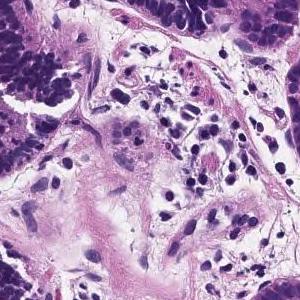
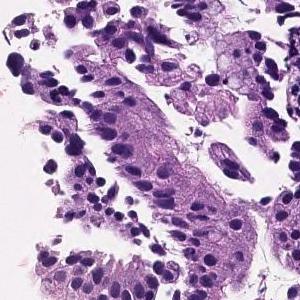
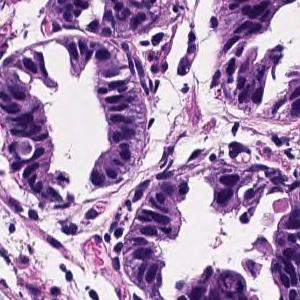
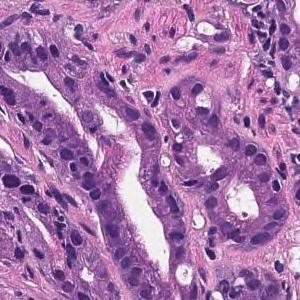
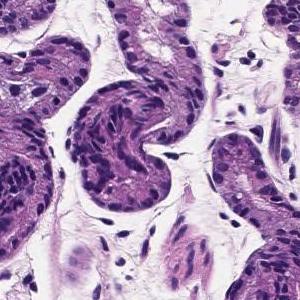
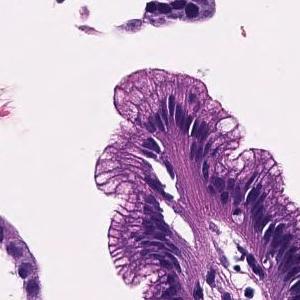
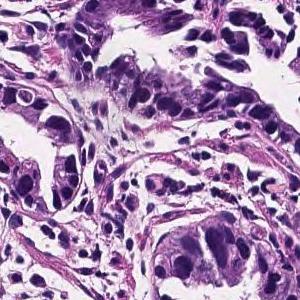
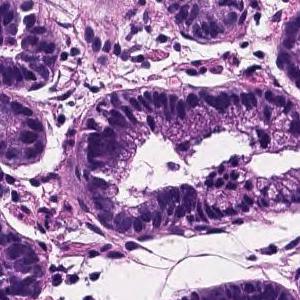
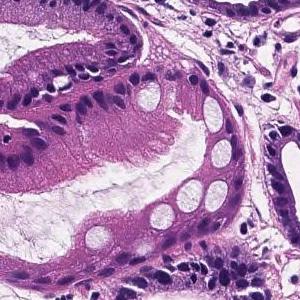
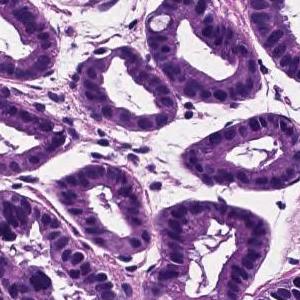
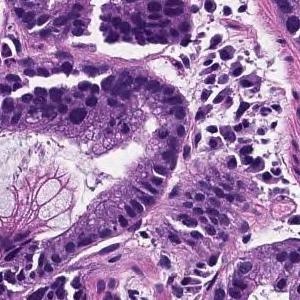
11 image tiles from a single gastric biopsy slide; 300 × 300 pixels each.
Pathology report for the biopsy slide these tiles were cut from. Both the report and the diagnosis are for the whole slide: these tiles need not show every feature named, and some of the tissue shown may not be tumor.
Tumor cells are large, highly columnar, large club-shaped nuclei, and are associated with chromatin aggregation. Papillary adenocarcinoma.
